6 patches cut from one gastric biopsy slide · scanned at ×20 · H&E.
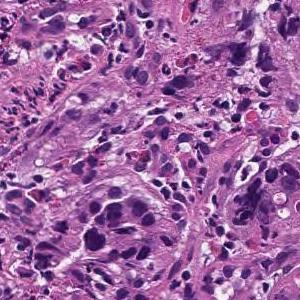
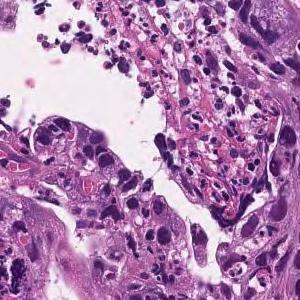
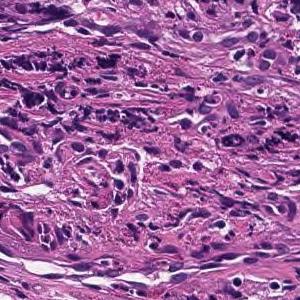
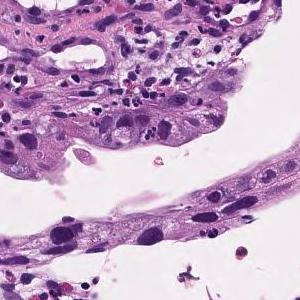
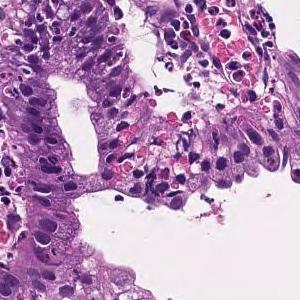
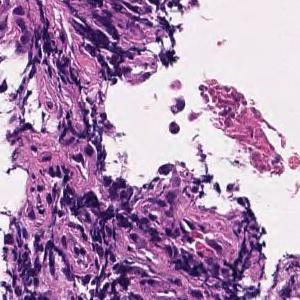
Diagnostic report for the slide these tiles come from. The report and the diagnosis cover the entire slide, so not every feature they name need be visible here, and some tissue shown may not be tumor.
In the superficial epithelium, tumor tissue that invades by forming medium-sized to small, irregular ducts is observed. moderately differentiated tubular adenocarcinoma.
